6 patches cut from one gastric biopsy slide; each 300 × 300 pixels.
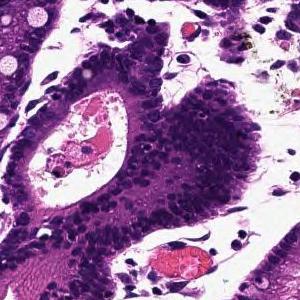
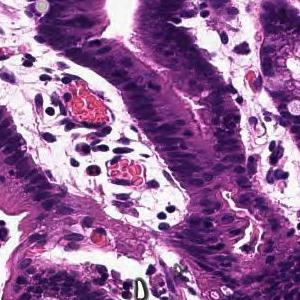
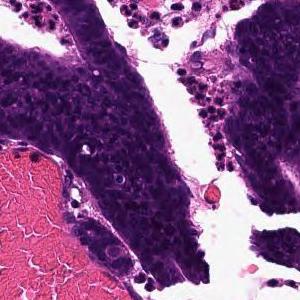
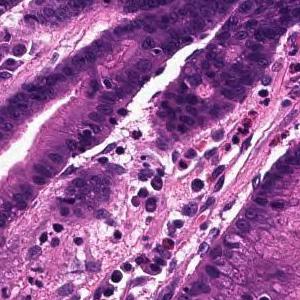
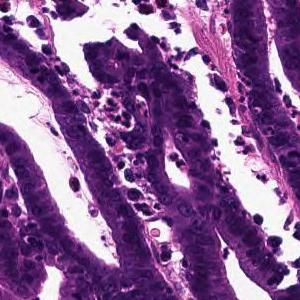
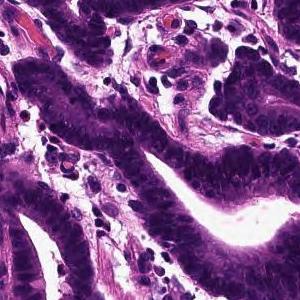
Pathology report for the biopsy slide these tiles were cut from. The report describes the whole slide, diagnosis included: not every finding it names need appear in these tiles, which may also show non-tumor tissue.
Tumor tissue that infiltrates by forming large papillary or large irregular glandular ducts is observed confined to the mucosa. Papillary adenocarcinoma
